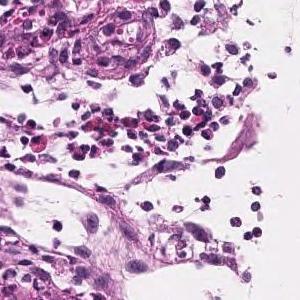
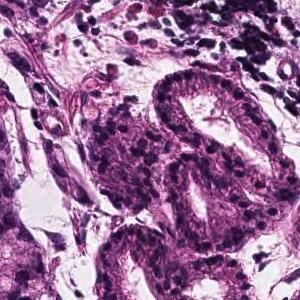
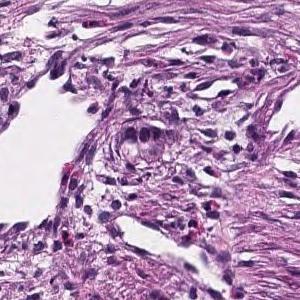
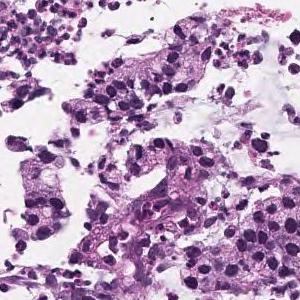
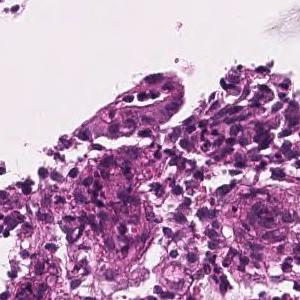
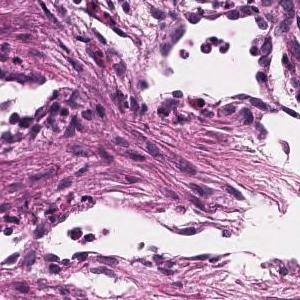
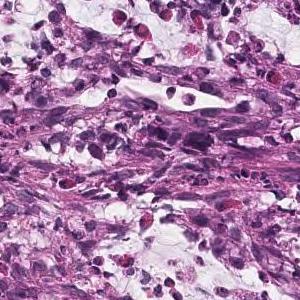
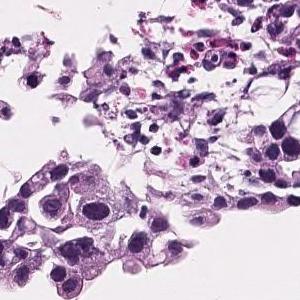
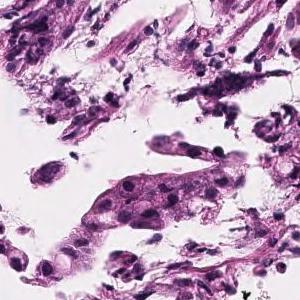
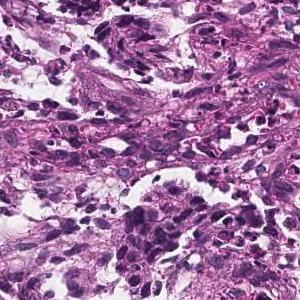
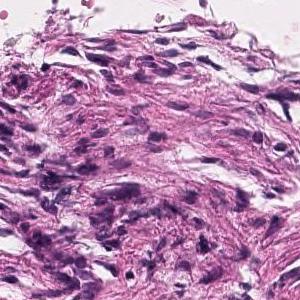
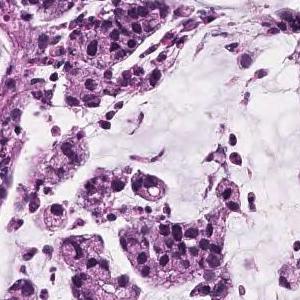
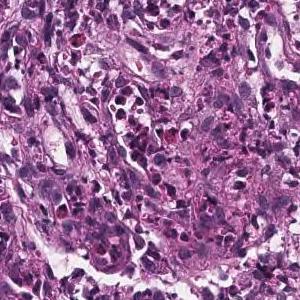
13 tiles cut from one stomach biopsy slide; each 300 × 300 pixels; 20× magnification.
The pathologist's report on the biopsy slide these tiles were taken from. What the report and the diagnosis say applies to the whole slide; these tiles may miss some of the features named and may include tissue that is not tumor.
Atypical epithelial cells form obscure ductal structures or small solid follicles, and tumor tissue that proliferates invasively with proliferation of inflammatory granulation tissue is observed. Mucinous adenocarcinoma .
